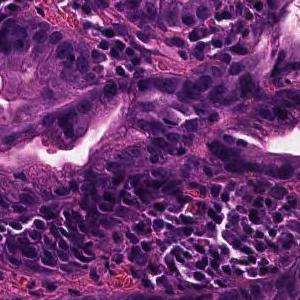
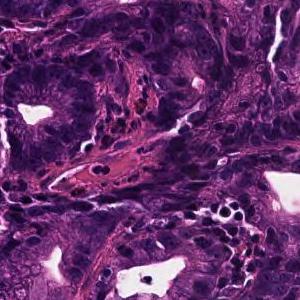
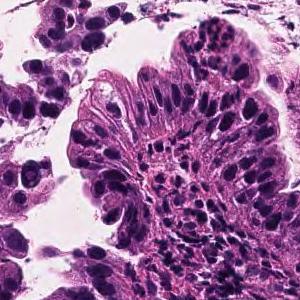
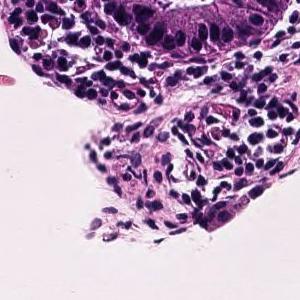
H&E stain, 4 tiles cut from one stomach biopsy slide, each 300 × 300 pixels.
Diagnostic report for the slide these tiles come from. The findings and the diagnosis refer to the entire slide; these tiles show only part of it, possibly with non-tumor tissue, and may not show every feature named.
Tumor cells are large, highly columnar, large club-shaped nuclei, and are associated with chromatin aggregation. Papillary adenocarcinoma.
